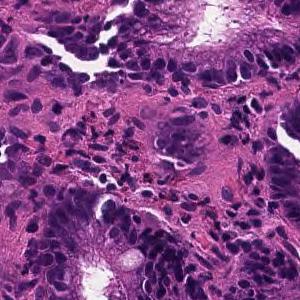
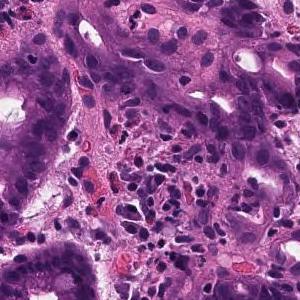
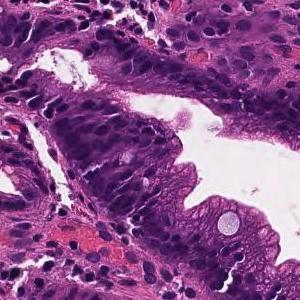
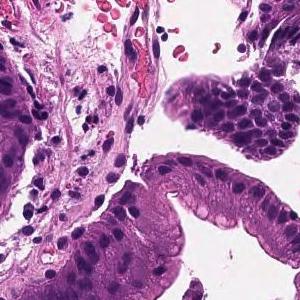
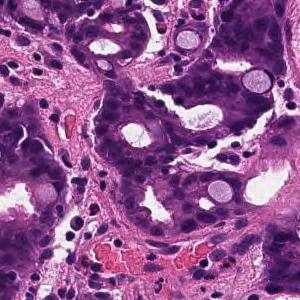
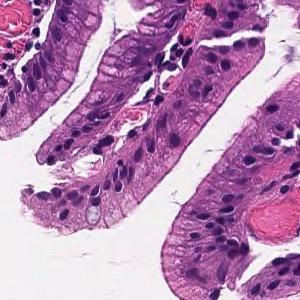
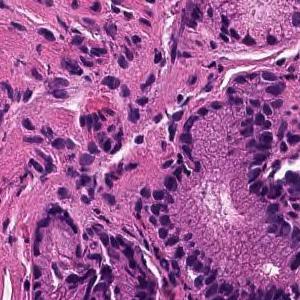
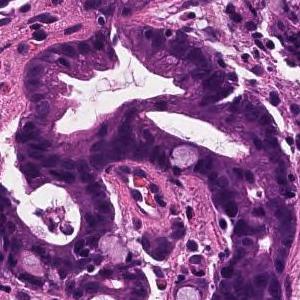
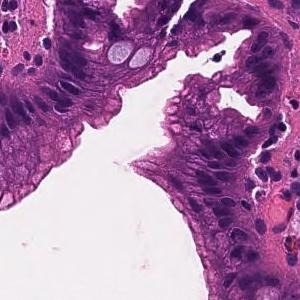
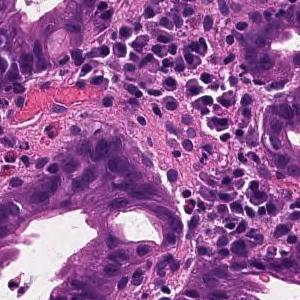
10 image tiles from a single gastric biopsy slide, hematoxylin and eosin stain.
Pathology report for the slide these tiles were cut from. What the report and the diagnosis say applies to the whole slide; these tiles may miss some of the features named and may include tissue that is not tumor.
From the superficial epithelium to the muscularis mucosae, tumor tissue consisting of medium-sized and irregular glandular ducts infiltrating is observed. Well differentiated tubular adenocarcinoma
